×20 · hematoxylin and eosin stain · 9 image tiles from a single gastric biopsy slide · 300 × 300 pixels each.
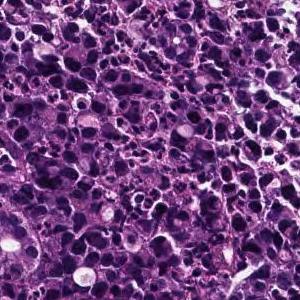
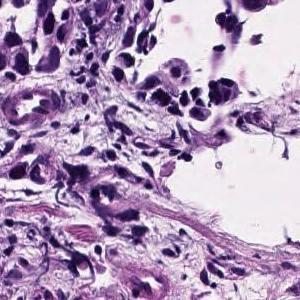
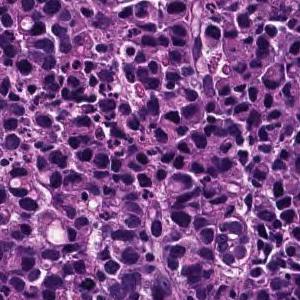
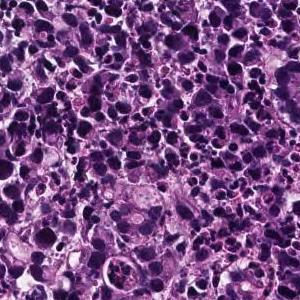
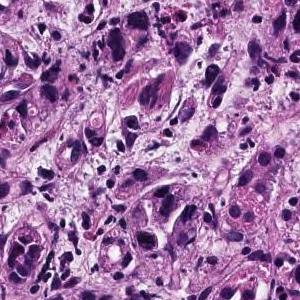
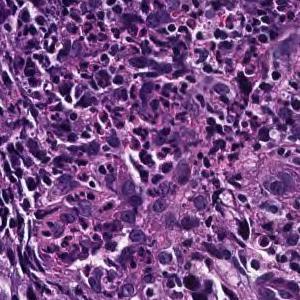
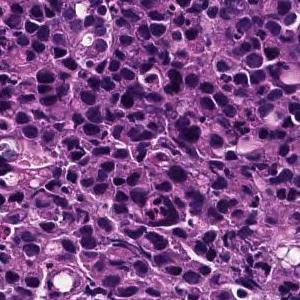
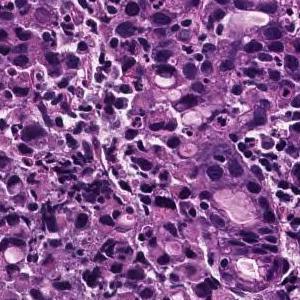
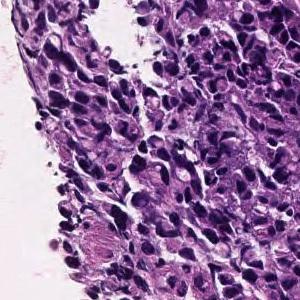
Pathology report for the biopsy slide these tiles were cut from. Both the report and the diagnosis are for the whole slide: these tiles need not show every feature named, and some of the tissue shown may not be tumor.
The superficial epithelium shows a large sheet-like shape, and some tumor tissue infiltrates with small irregular ducts. Poorly differentiated adenocarcinoma, solid-type
Histological subtype: Poorly differentiated adenocarcinoma, solid type. This name comes from the Japanese Classification of Gastric Carcinoma; the WHO 2019 classification calls it tubular adenocarcinoma, poorly differentiated.
